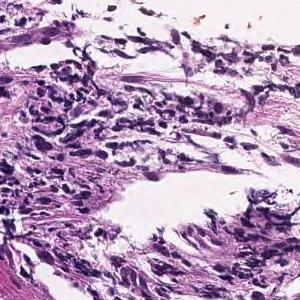
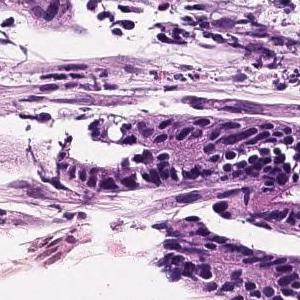
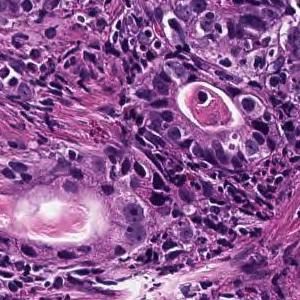
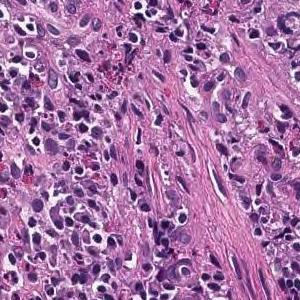
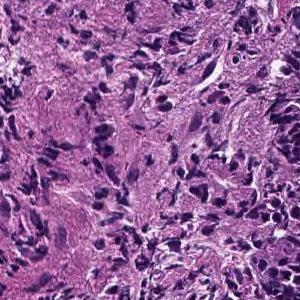
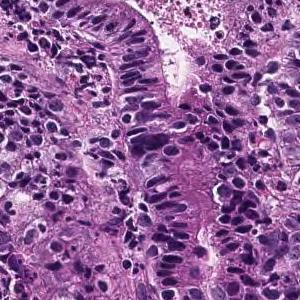
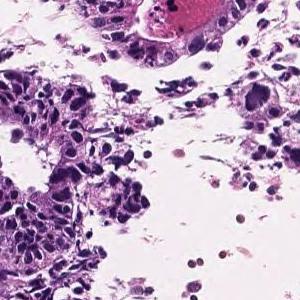
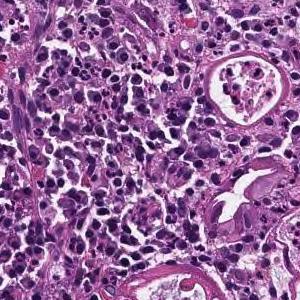
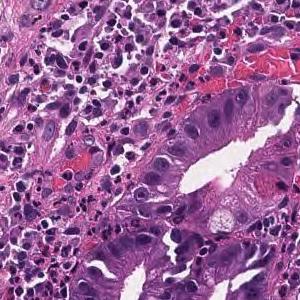
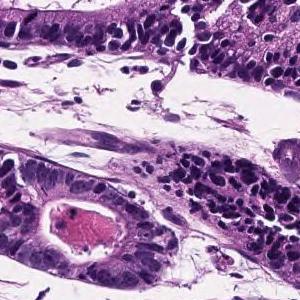
10 tiles from the same stomach biopsy slide, 300 × 300 pixels each, ×20.
Report on the slide these tiles come from. The report and the diagnosis cover the entire slide, so not every feature they name need be visible here, and some tissue shown may not be tumor.
On the superficial epithelium, tumor tissue consisting of large, irregular glandular ducts partially fused and infiltrated is observed. Well to moderately differentiated tubular adenocarcinoma (well differentiated tubular adenocarcinoma, moderately differentiated tubular adenocarcinoma)
Histologic type: Well to moderately differentiated tubular adenocarcinoma.
